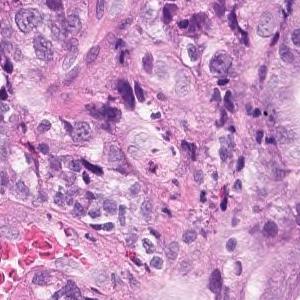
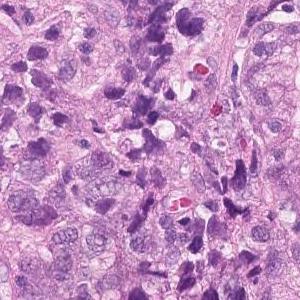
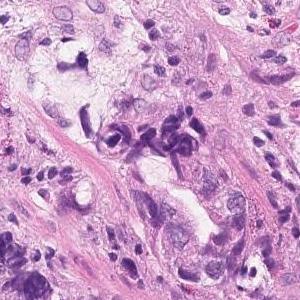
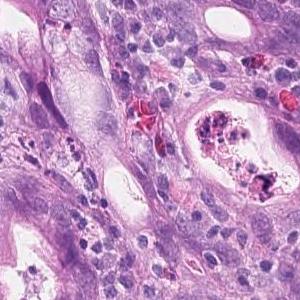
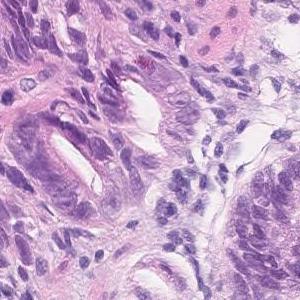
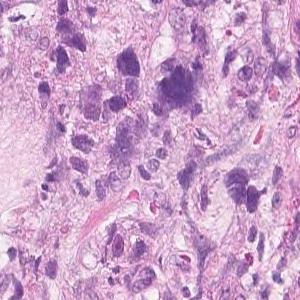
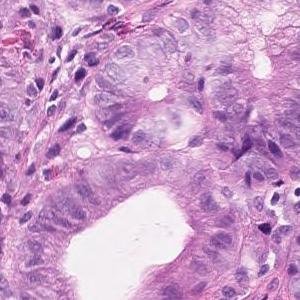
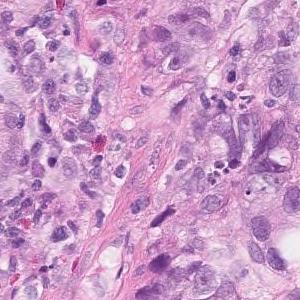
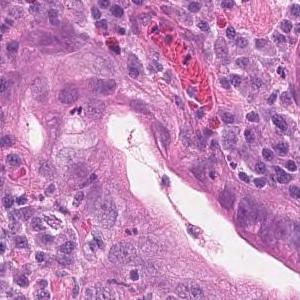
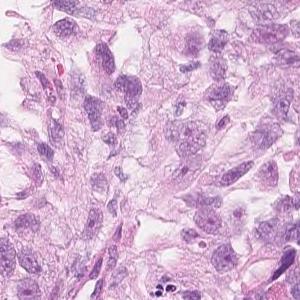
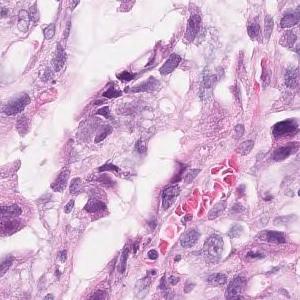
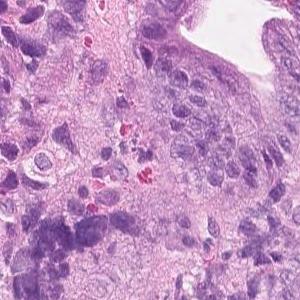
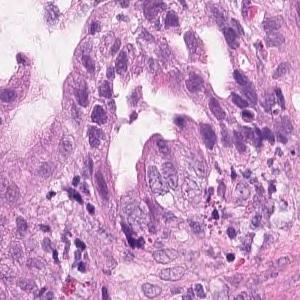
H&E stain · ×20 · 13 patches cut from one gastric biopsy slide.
The pathologist's report on the biopsy slide these tiles were taken from. The report and the diagnosis cover the entire slide, so not every feature they name need be visible here, and some tissue shown may not be tumor.
Tumor tissue showing dense, fused or diffuse, and infiltrative growth of small atypical ducts is observed. moderately differentiated tubular adenocarcinoma
